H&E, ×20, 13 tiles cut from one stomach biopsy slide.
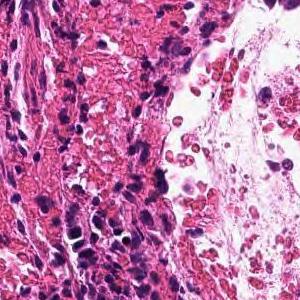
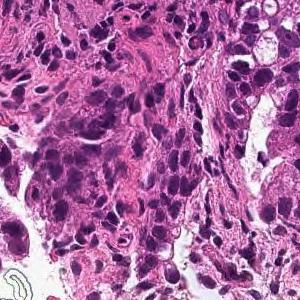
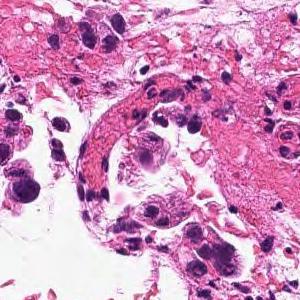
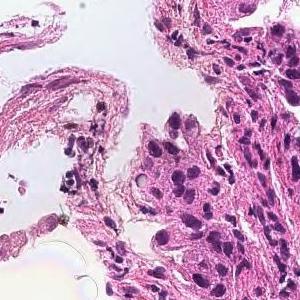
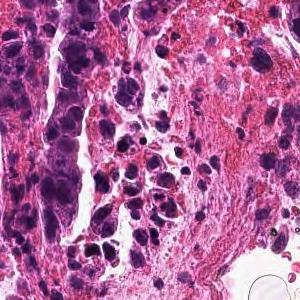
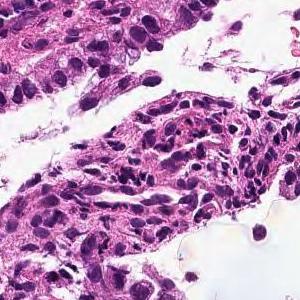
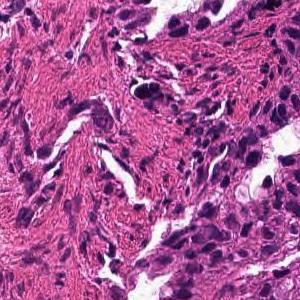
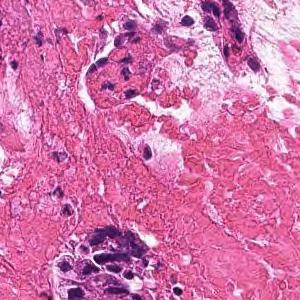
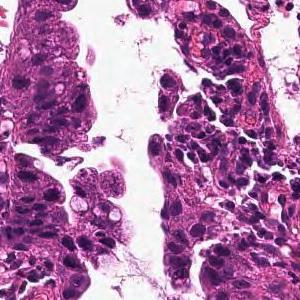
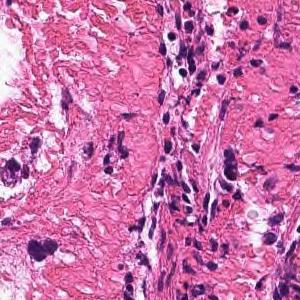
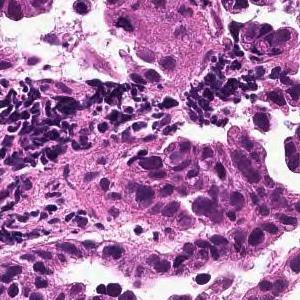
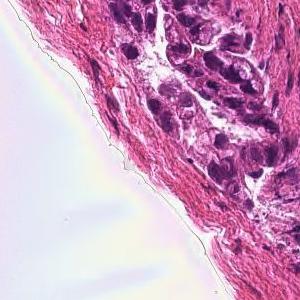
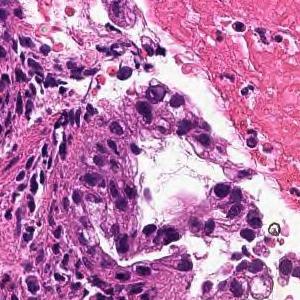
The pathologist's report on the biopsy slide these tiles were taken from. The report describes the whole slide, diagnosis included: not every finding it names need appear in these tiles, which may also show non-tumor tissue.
From the superficial epithelium to the muscularis mucosae, tumor tissue infiltrating by forming medium-sized irregular gland ducts is observed. Well differentiated tubular adenocarcinoma
